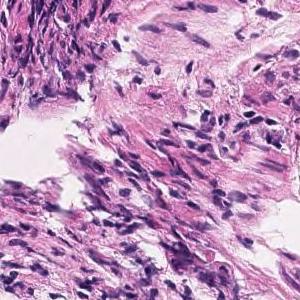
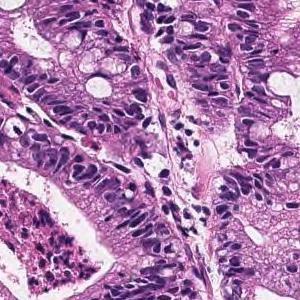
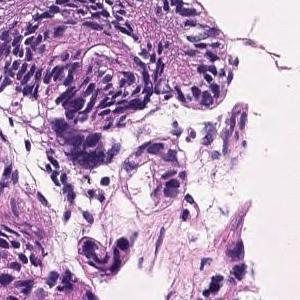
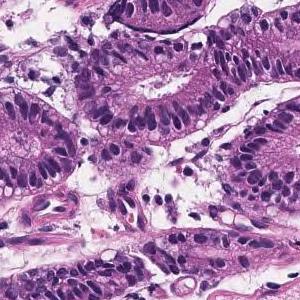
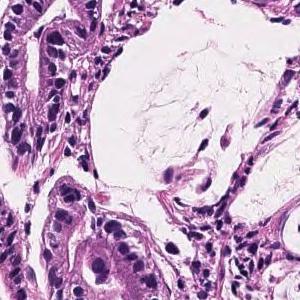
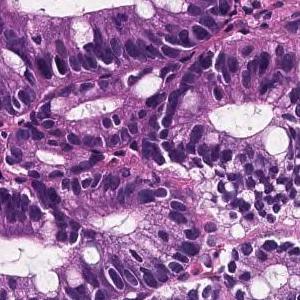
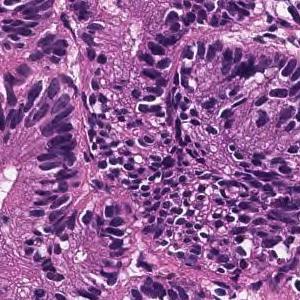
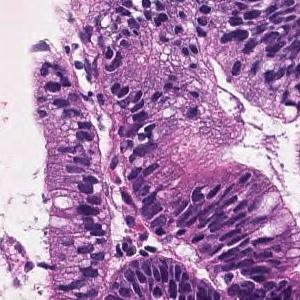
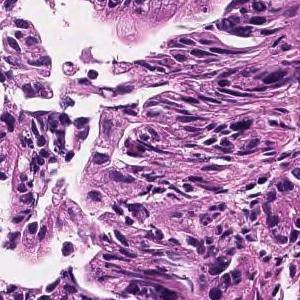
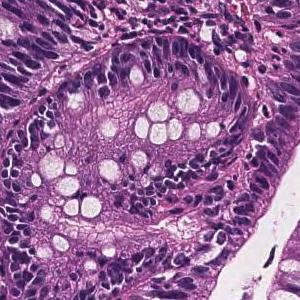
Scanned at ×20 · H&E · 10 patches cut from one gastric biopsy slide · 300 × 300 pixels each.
Report on the slide these tiles come from. The report and the diagnosis describe the slide as a whole, so these tiles may not show every feature named and may include non-tumor tissue.
Most remain in the superficial epithelium, forming medium-sized papillary or small irregular ducts and proliferating, and some tumor tissue invades the muscularis mucosae. Papillary adenocarcinoma
